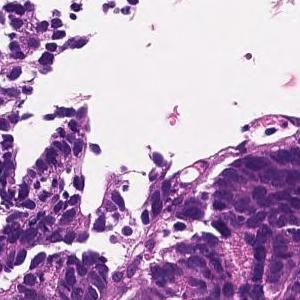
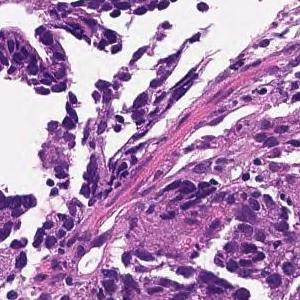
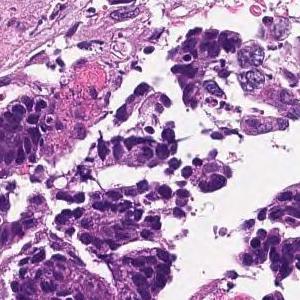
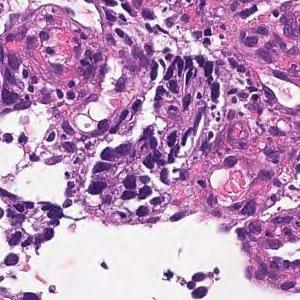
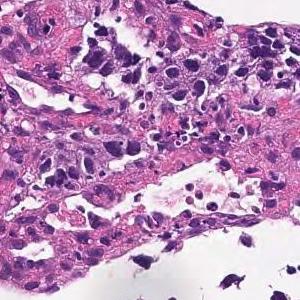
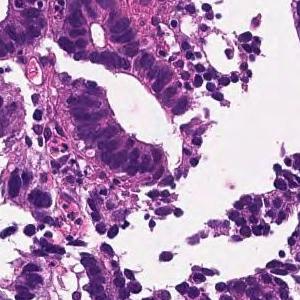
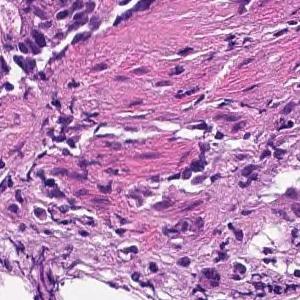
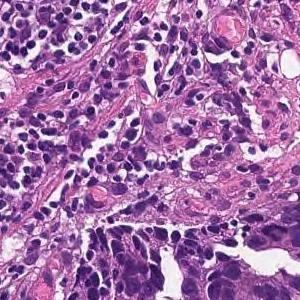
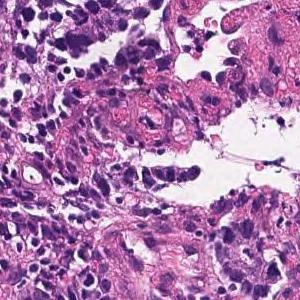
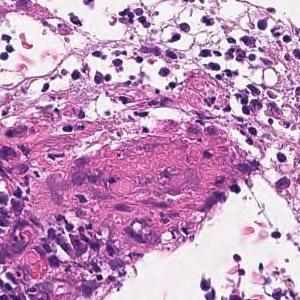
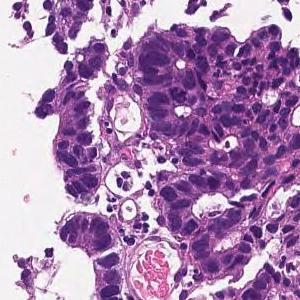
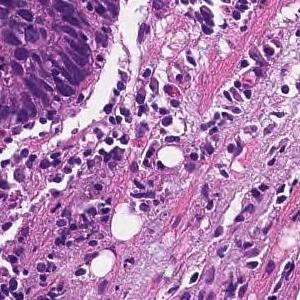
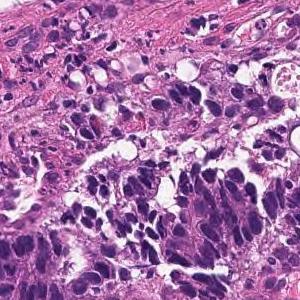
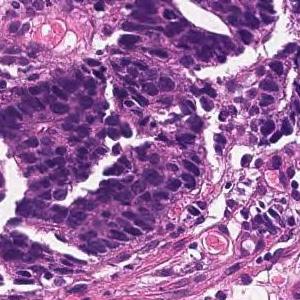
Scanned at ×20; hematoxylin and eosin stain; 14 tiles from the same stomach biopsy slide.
Pathology report for the biopsy slide these tiles were cut from. Both the report and the diagnosis are for the whole slide: these tiles need not show every feature named, and some of the tissue shown may not be tumor.
In the superficial epithelium, tumor tissue that invades by forming medium-sized to small, irregular ducts is observed. Moderately differentiated adenocarcinoma (moderately differentiated tubular adenocarcinoma).
Histological subtype: Moderately differentiated tubular adenocarcinoma.
